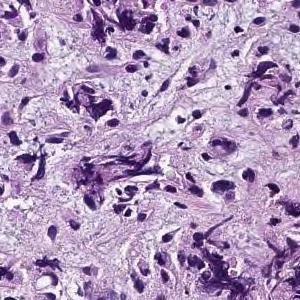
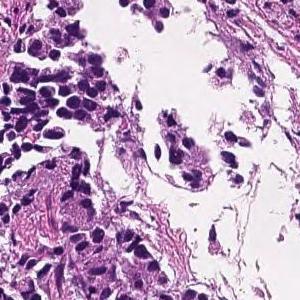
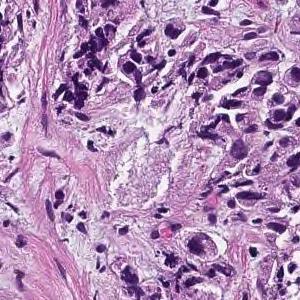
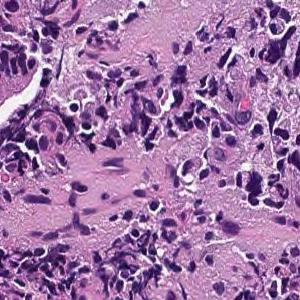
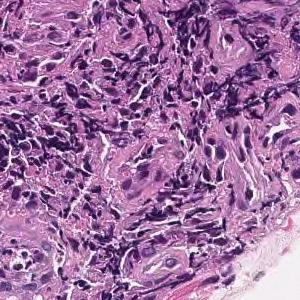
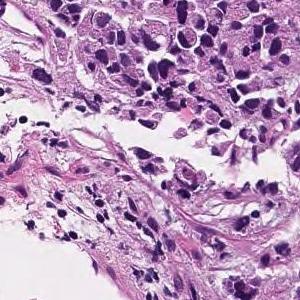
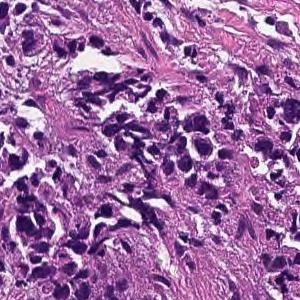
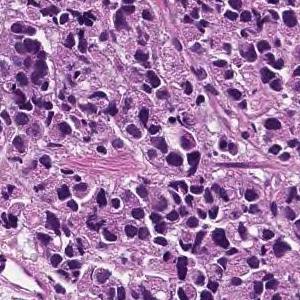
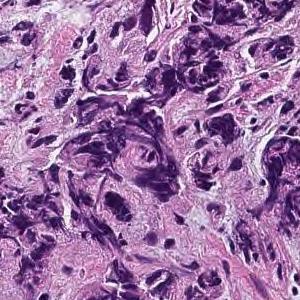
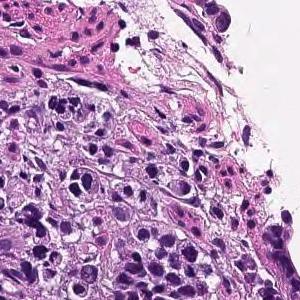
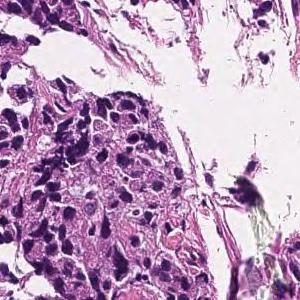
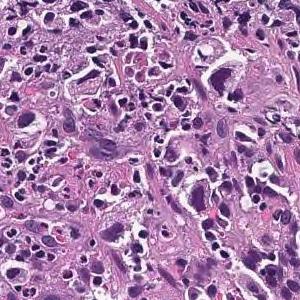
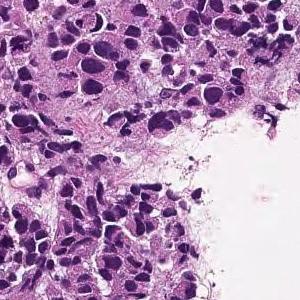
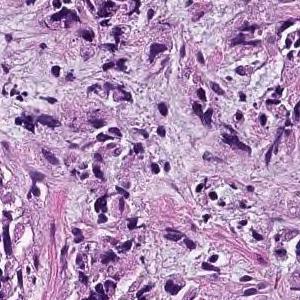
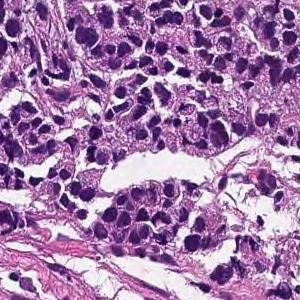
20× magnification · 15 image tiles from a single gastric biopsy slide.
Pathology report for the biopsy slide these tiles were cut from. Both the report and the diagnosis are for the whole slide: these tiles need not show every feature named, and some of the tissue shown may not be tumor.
The lamina propria shows small cord-like tumor tissue that infiltrates with fibrosis and marked chronic inflammatory cell infiltration. Poorly differentiated adenocarcinoma, non-solid type
The term "non-solid type" comes from the Japanese Classification of Gastric Carcinoma.
